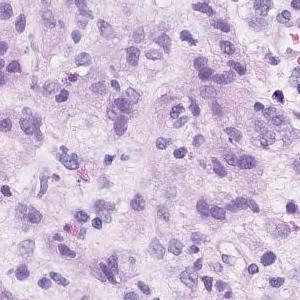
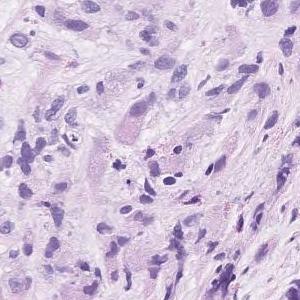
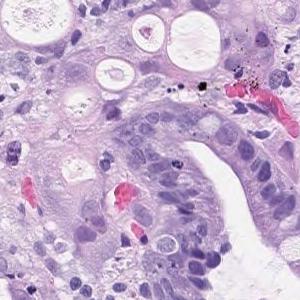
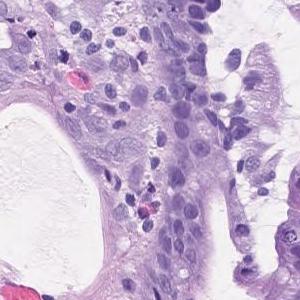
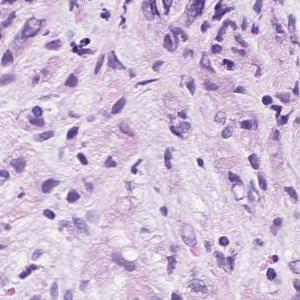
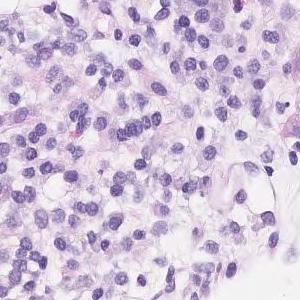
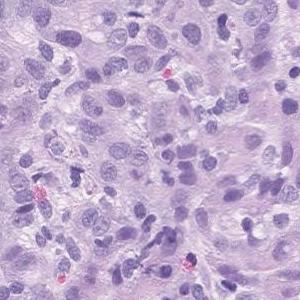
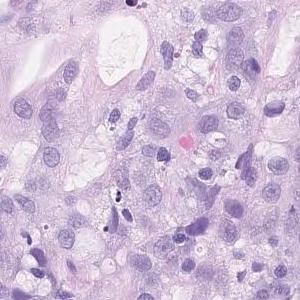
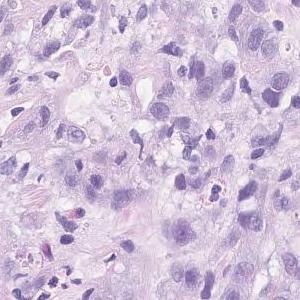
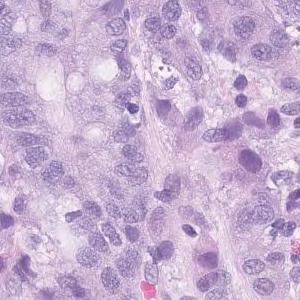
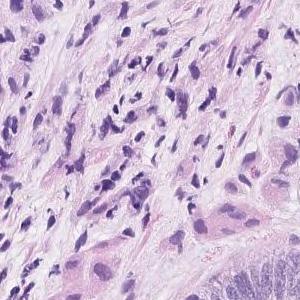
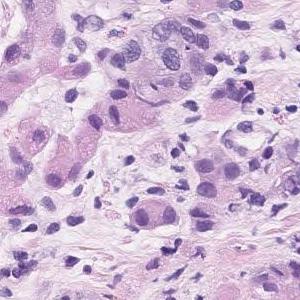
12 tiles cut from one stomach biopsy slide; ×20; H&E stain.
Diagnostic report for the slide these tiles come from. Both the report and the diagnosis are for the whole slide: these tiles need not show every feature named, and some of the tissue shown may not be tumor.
Group 5, Adenocarcinoma. Poorly differentiated adenocarcinoma, non-solid type
The non-solid type named here is a Japanese Classification of Gastric Carcinoma category.
